4 patches cut from one gastric biopsy slide; 300×300 px each; hematoxylin and eosin stain.
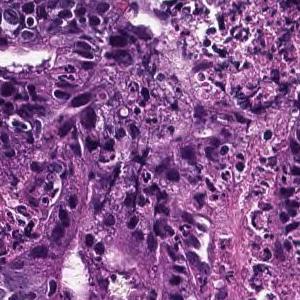
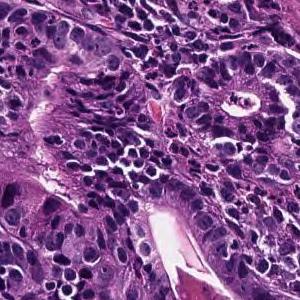
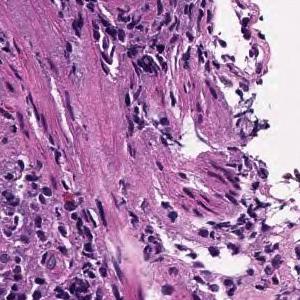
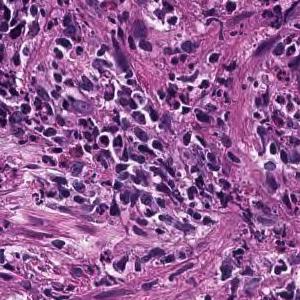
Diagnostic report for the slide these tiles come from. What the report and the diagnosis say applies to the whole slide; these tiles may miss some of the features named and may include tissue that is not tumor.
On the superficial epithelium, tumor tissue consisting of large, irregular glandular ducts partially fused and infiltrated is observed. Well to moderately differentiated tubular adenocarcinoma (well differentiated tubular adenocarcinoma, moderately differentiated tubular adenocarcinoma)
Subtype: Well to moderately differentiated tubular adenocarcinoma.
